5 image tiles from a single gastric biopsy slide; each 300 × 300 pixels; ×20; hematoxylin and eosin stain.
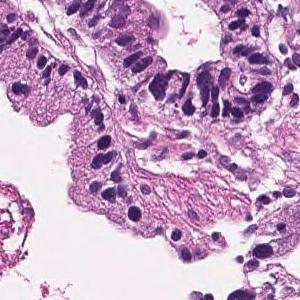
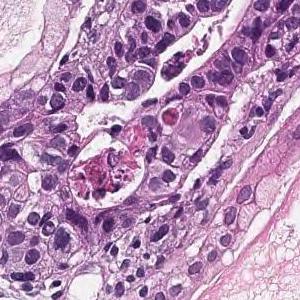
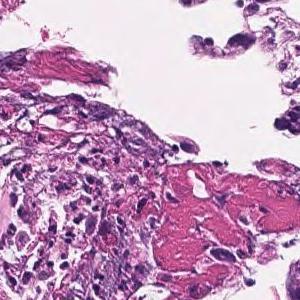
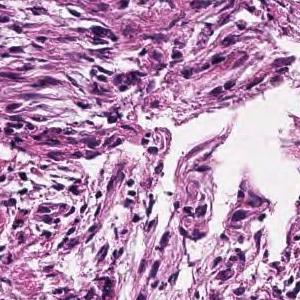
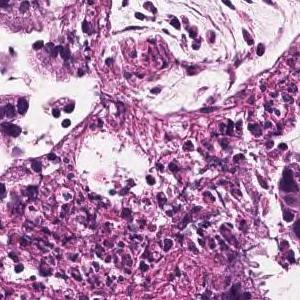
Pathology report for the slide these tiles were cut from. The report describes the whole slide, diagnosis included: not every finding it names need appear in these tiles, which may also show non-tumor tissue.
On the superficial epithelium, tumor tissue consisting of large, irregular glandular ducts partially fused and infiltrated is observed. Well to moderately differentiated tubular adenocarcinoma (well differentiated tubular adenocarcinoma, moderately differentiated tubular adenocarcinoma)
Histologic type: Well to moderately differentiated tubular adenocarcinoma.
